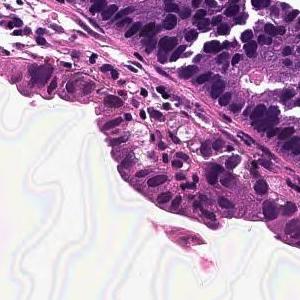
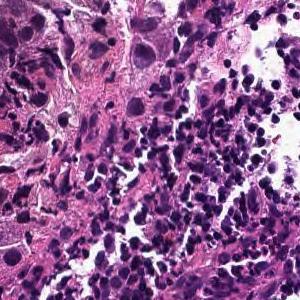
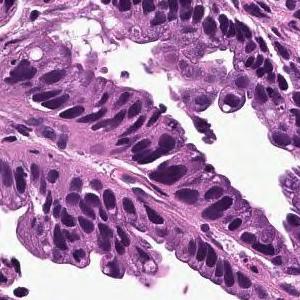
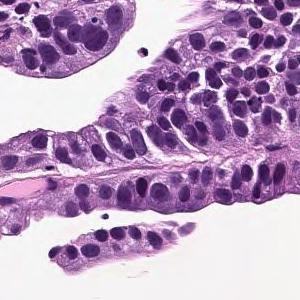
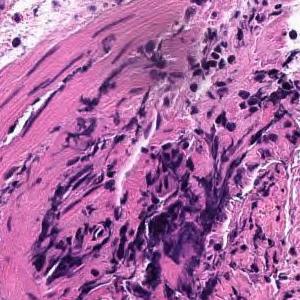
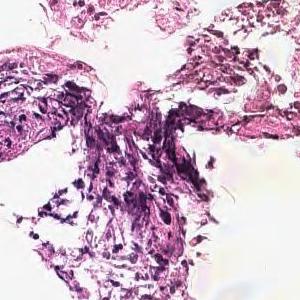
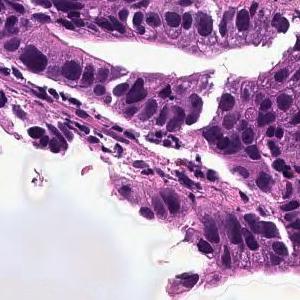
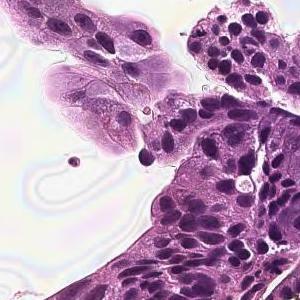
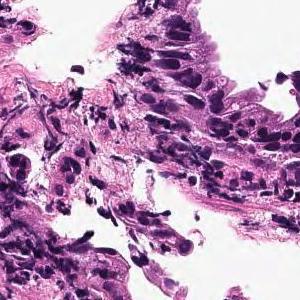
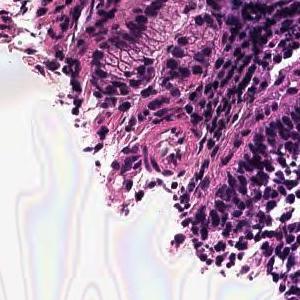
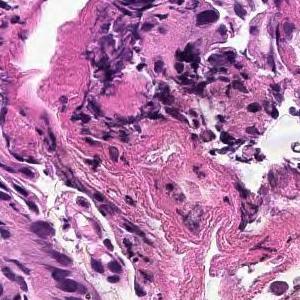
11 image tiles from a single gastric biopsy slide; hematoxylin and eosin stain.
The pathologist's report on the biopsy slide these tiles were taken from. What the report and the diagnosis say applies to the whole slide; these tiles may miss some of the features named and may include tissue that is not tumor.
On the superficial epithelium, tumor tissue that infiltrates by forming medium-sized papillary or small irregular ducts is observed. Papillary adenocarcinoma
